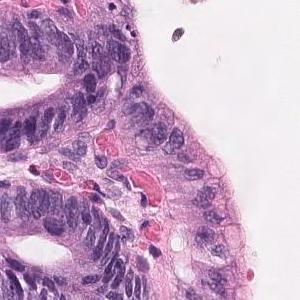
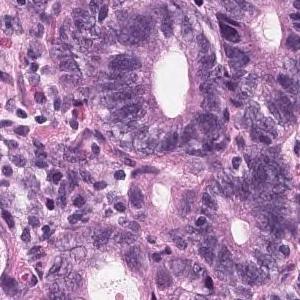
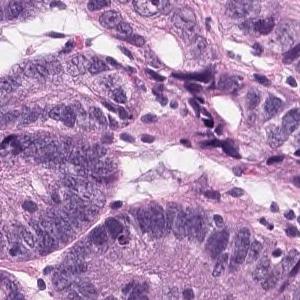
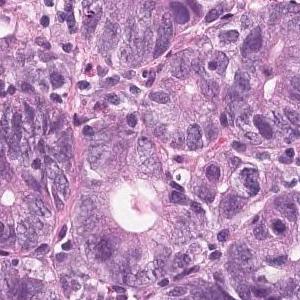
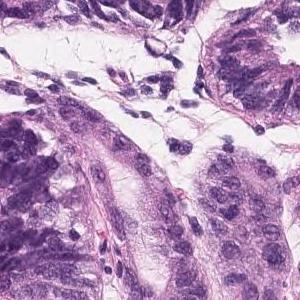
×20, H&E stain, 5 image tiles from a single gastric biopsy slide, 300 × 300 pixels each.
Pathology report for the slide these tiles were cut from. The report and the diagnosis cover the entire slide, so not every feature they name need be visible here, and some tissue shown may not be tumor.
Atypical ducts with severe atypia are densely populated in the superficial epithelium, and tumor tissue with hyperplasia is observed. Well differentiated tubular adenocarcinoma
